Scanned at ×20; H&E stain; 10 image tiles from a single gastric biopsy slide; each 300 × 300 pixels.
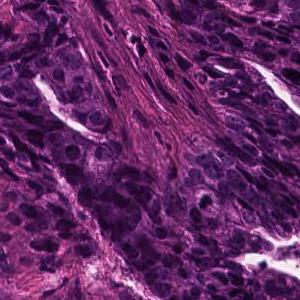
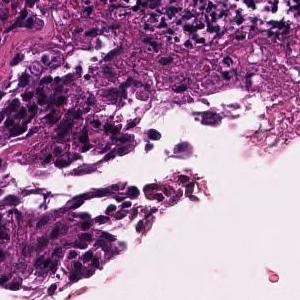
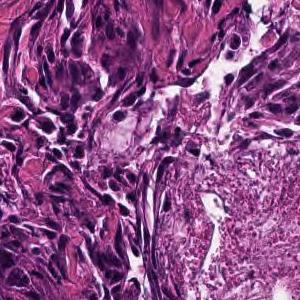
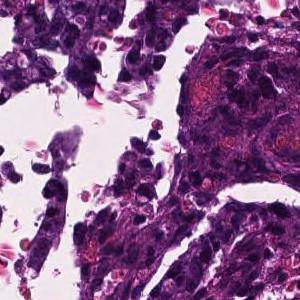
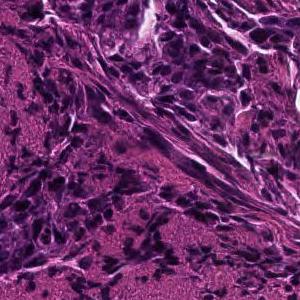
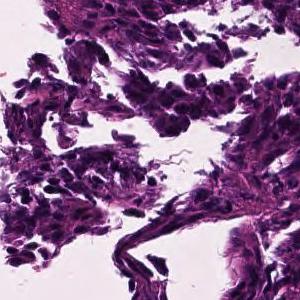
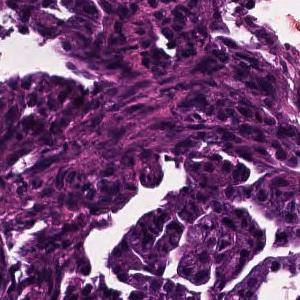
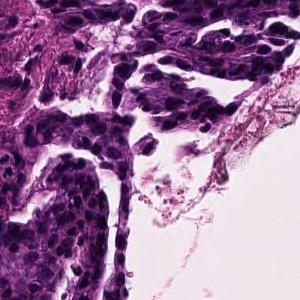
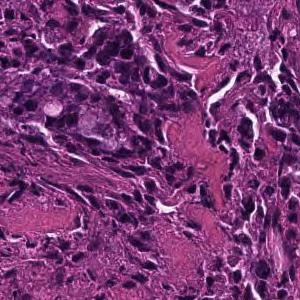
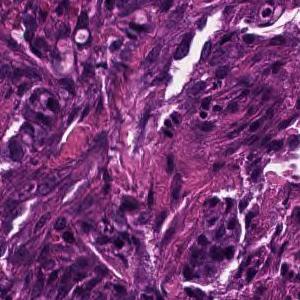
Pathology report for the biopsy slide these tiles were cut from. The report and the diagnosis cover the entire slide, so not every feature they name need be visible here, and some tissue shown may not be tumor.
Tumor tissue consisting of medium-sized, cord-like or irregular glandular infiltration is observed in the superficial epithelium. Poorly differentiated adenocarcinoma, non-solid type or moderately differentiated tubular adenocarcinoma
Histologic type: Moderately to poorly differentiated adenocarcinoma.
The non-solid type named here is a Japanese Classification of Gastric Carcinoma category.
